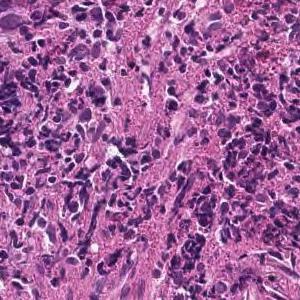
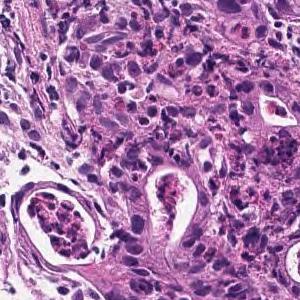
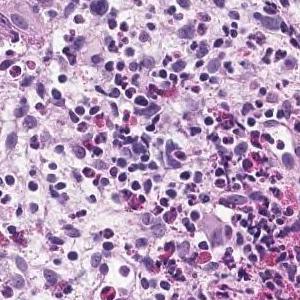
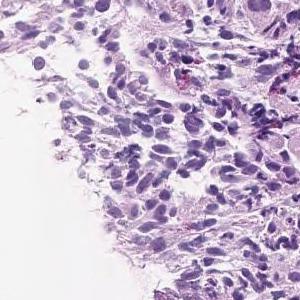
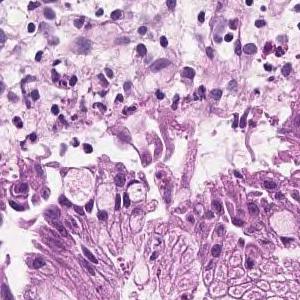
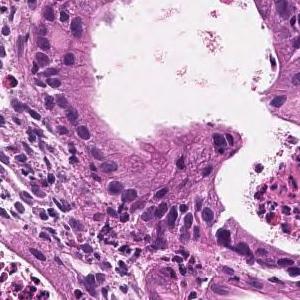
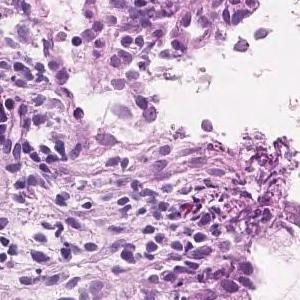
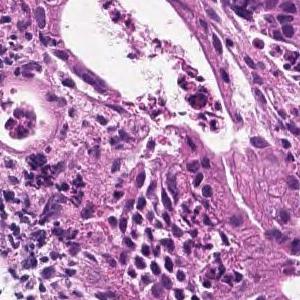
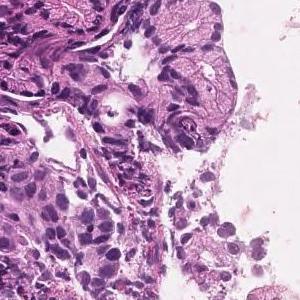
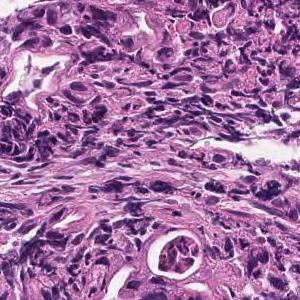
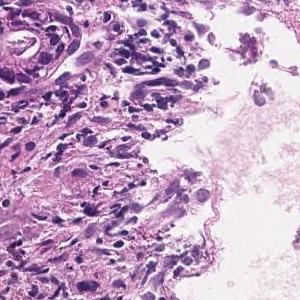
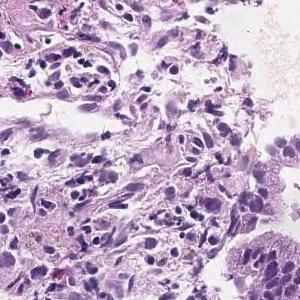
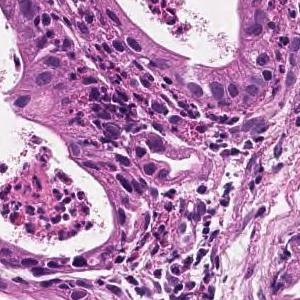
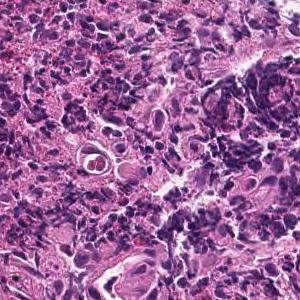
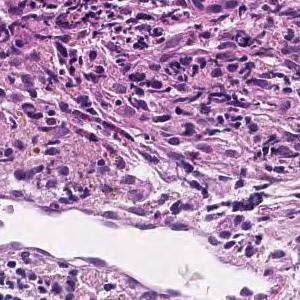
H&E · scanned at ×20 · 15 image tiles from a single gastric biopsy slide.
The pathologist's report on the biopsy slide these tiles were taken from. The report and the diagnosis cover the entire slide, so not every feature they name need be visible here, and some tissue shown may not be tumor.
In the superficial epithelium, tumor tissue that invades by forming medium-sized to small, irregular ducts is observed. moderately differentiated tubular adenocarcinoma.
